Scanned at ×20, H&E, 16 tiles from the same stomach biopsy slide, each 300 × 300 pixels.
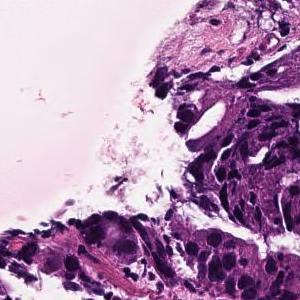
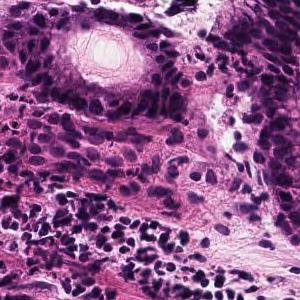
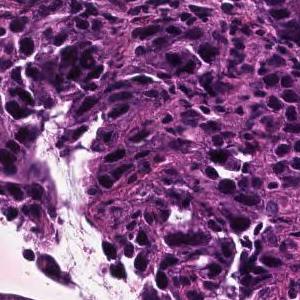
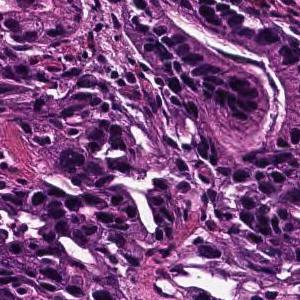
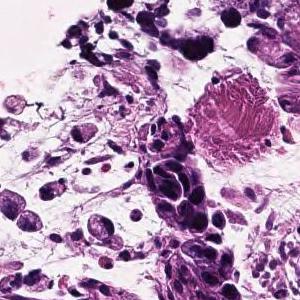
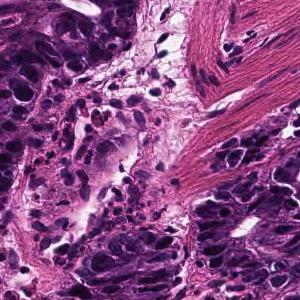
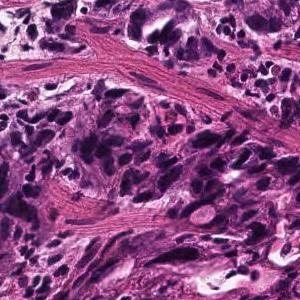
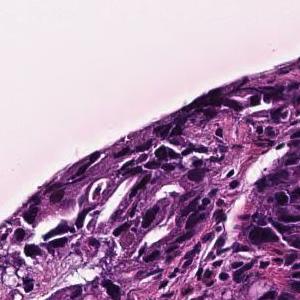
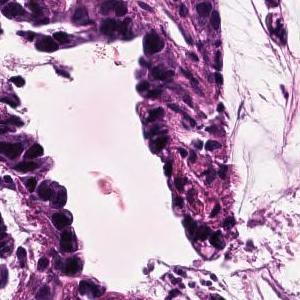
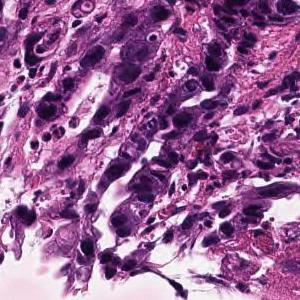
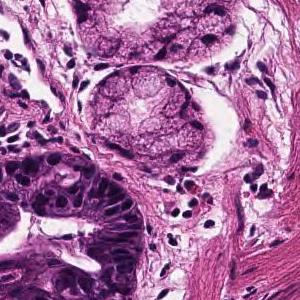
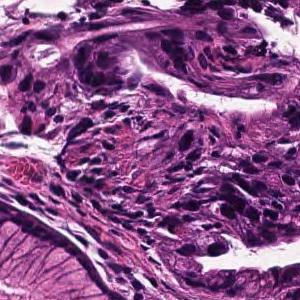
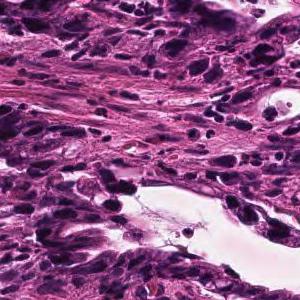
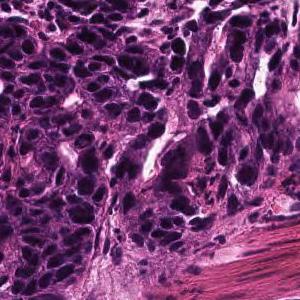
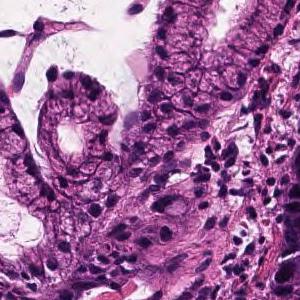
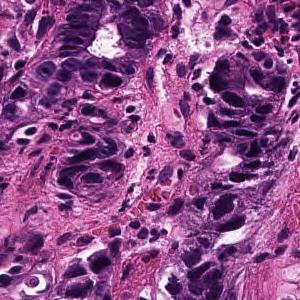
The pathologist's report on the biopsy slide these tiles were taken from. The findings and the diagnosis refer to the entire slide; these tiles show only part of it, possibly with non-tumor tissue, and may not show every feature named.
In the superficial epithelium, tumor tissue that invades by forming medium-sized to small, irregular ducts is observed. moderately differentiated tubular adenocarcinoma.
